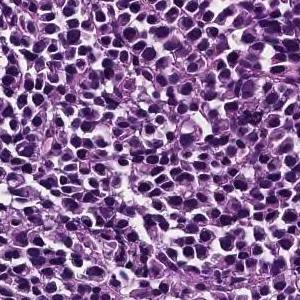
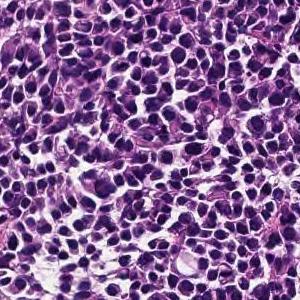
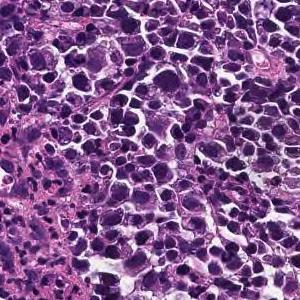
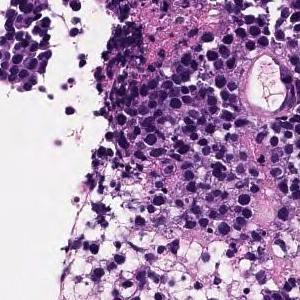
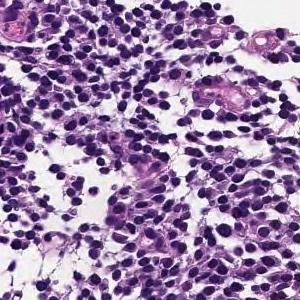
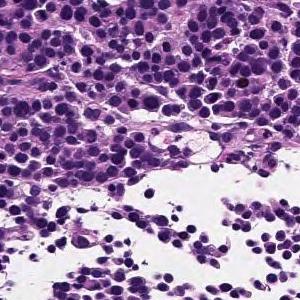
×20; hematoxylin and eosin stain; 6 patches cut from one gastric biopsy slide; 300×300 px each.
The pathologist's report on the biopsy slide these tiles were taken from. The report and the diagnosis describe the slide as a whole, so these tiles may not show every feature named and may include non-tumor tissue.
Large sheet-like or diffusely infiltrating tumor tissue is found in the superficial epithelium. Poorly differentiated adenocarcinoma, solid-type
Classified as poorly differentiated adenocarcinoma, solid type, a category of the Japanese Classification of Gastric Carcinoma; in the WHO 2019 classification it is tubular adenocarcinoma, poorly differentiated.
